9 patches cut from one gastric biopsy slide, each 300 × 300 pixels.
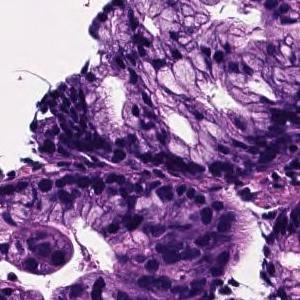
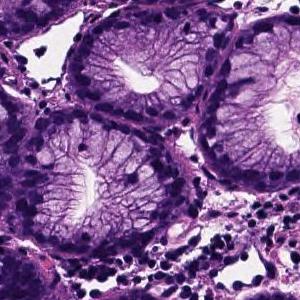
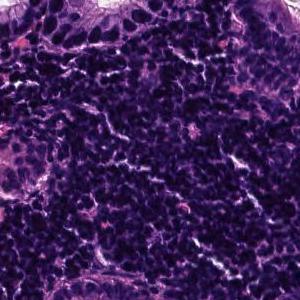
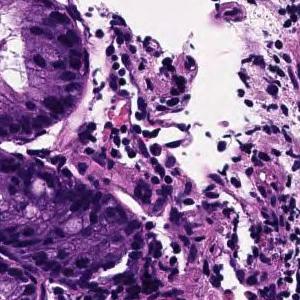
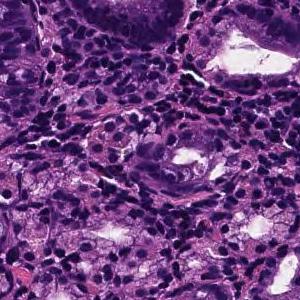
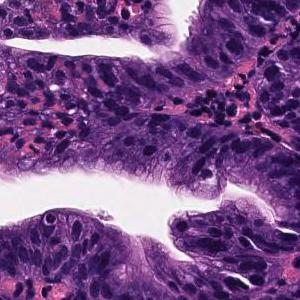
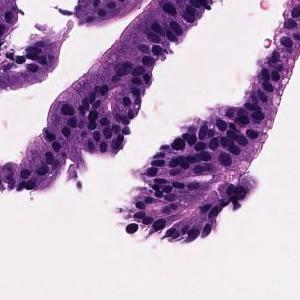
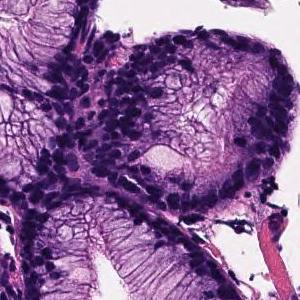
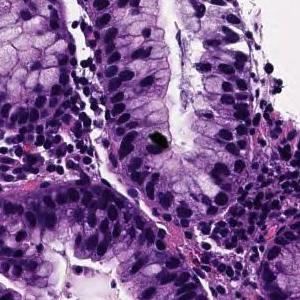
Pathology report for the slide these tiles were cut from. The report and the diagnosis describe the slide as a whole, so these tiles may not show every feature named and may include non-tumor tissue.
On the superficial epithelium, tumor tissue that infiltrates by forming medium-sized papillary or small irregular ducts is observed. Papillary adenocarcinoma
